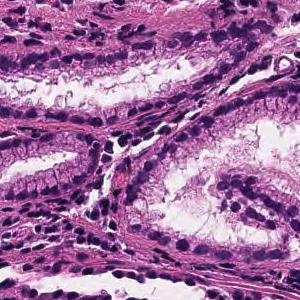
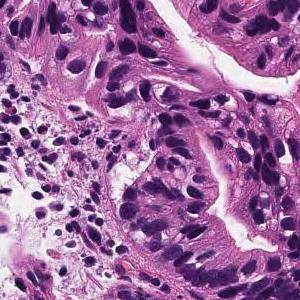
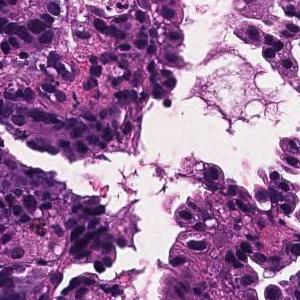
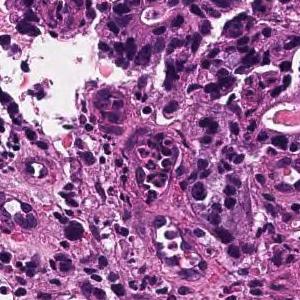
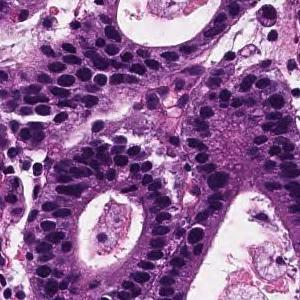
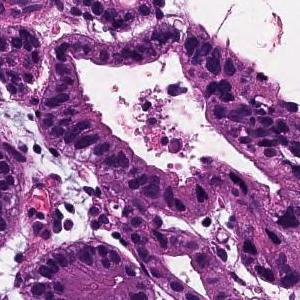
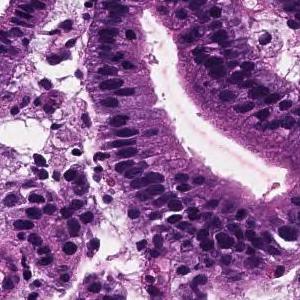
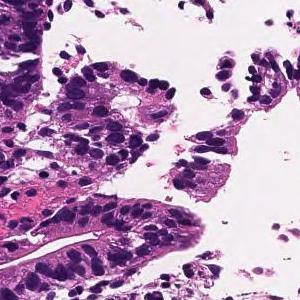
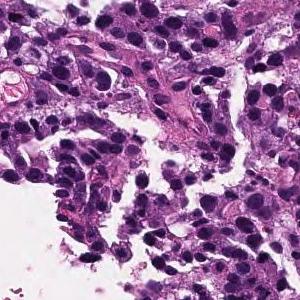
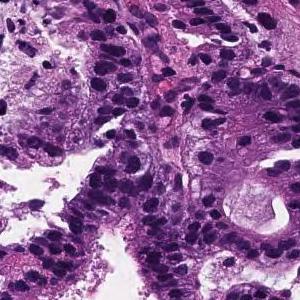
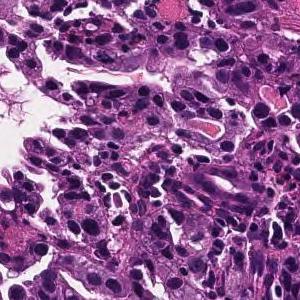
11 patches cut from one gastric biopsy slide · hematoxylin and eosin stain.
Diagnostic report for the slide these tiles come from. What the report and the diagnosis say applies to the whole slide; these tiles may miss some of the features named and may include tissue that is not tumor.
From the superficial epithelium to the muscularis mucosae, tumor tissue consisting of medium-sized and irregular glandular ducts infiltrating is observed. Well differentiated tubular adenocarcinoma
